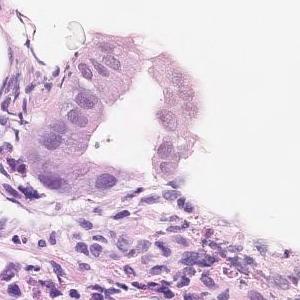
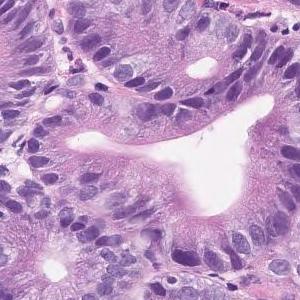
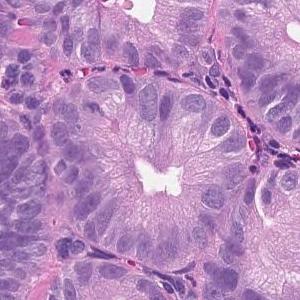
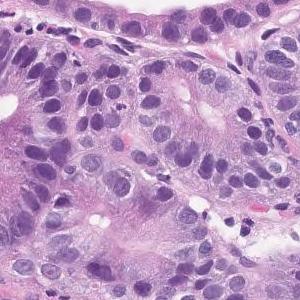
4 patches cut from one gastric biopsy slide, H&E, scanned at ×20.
Report on the slide these tiles come from. The report and the diagnosis describe the slide as a whole, so these tiles may not show every feature named and may include non-tumor tissue.
Tumor tissue consisting of medium-sized and irregular ducts is observed infiltrating in the superficial epithelium. Tumor cells are highly columnar, with nuclei aligned basolaterally and polarized. Well differentiated tubular adenocarcinoma.
